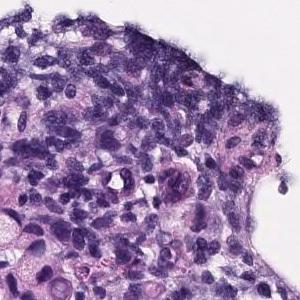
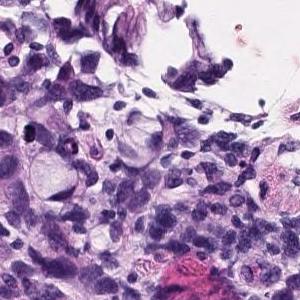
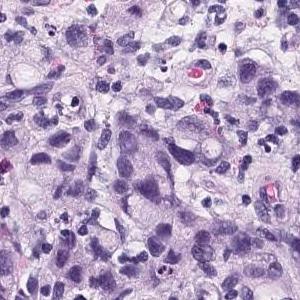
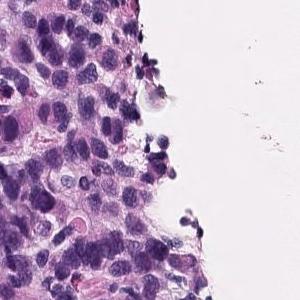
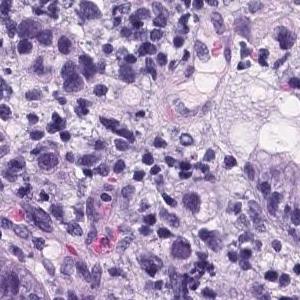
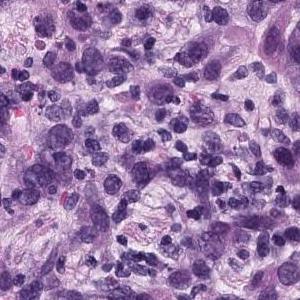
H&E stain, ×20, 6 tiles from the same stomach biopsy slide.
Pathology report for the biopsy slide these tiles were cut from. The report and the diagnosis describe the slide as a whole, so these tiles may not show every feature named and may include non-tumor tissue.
Group 5, Adenocarcinoma. Poorly differentiated adenocarcinoma, non-solid type
"Non-solid type" is a category of the Japanese Classification of Gastric Carcinoma.
